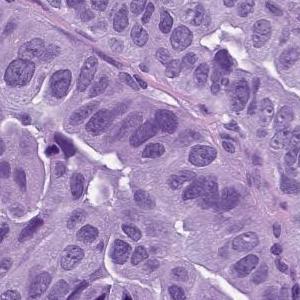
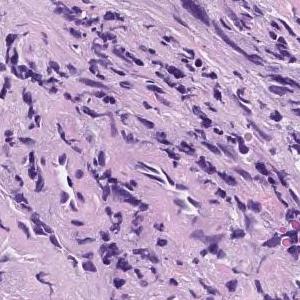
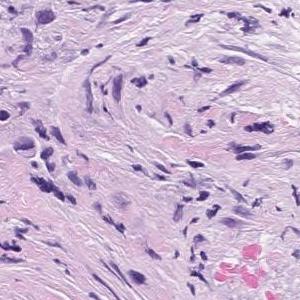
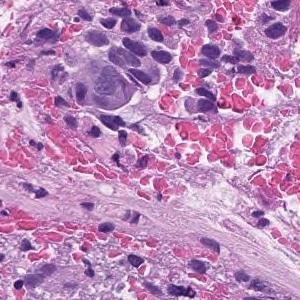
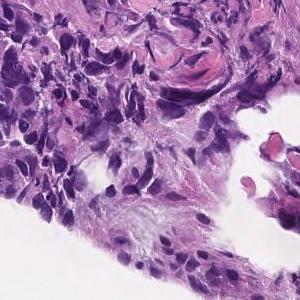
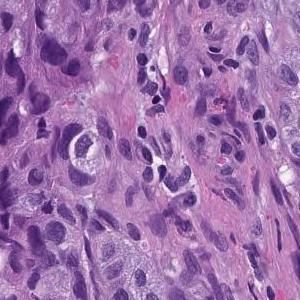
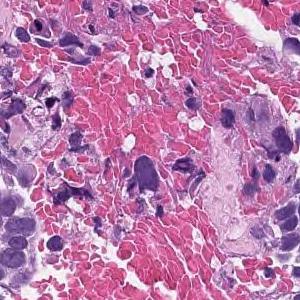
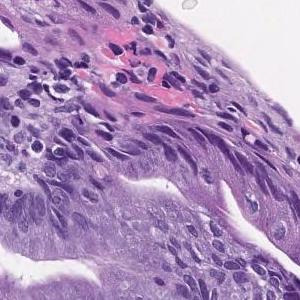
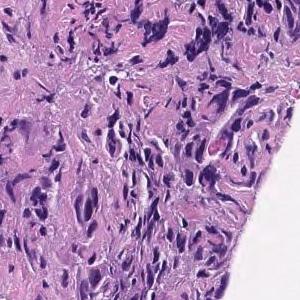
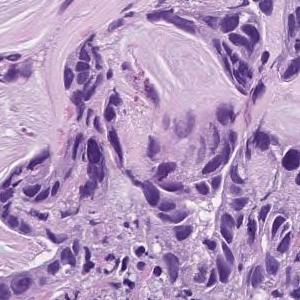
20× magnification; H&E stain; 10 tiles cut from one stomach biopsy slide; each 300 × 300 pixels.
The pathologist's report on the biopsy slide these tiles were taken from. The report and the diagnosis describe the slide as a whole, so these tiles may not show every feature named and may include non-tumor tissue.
In the superficial epithelium, tumor tissue that invades by forming medium-sized to small, irregular ducts is observed. moderately differentiated tubular adenocarcinoma.
